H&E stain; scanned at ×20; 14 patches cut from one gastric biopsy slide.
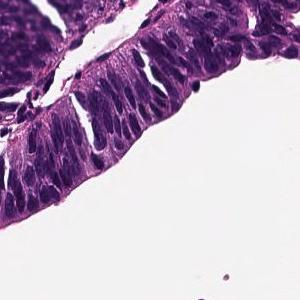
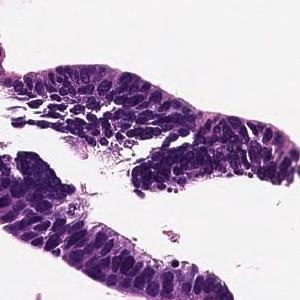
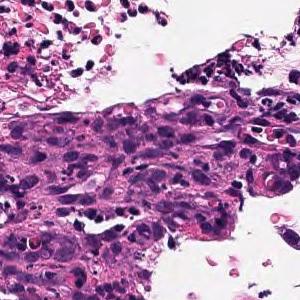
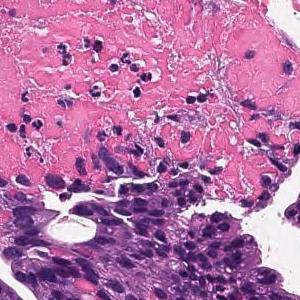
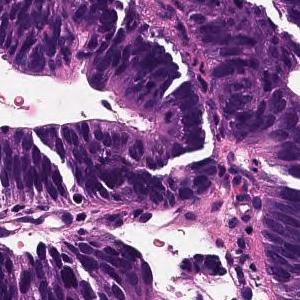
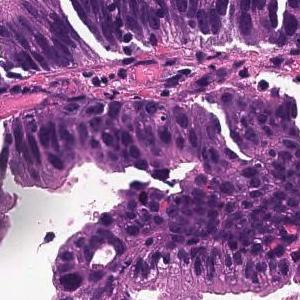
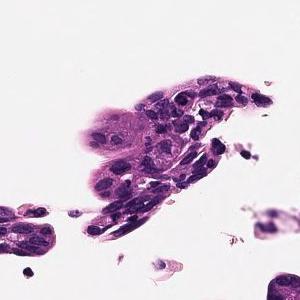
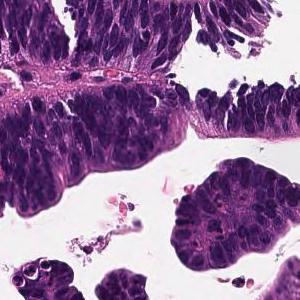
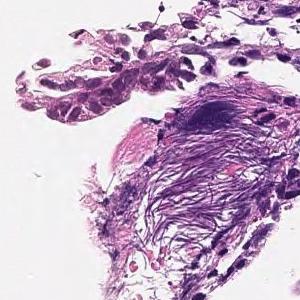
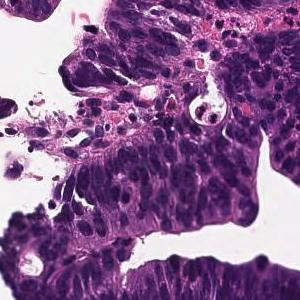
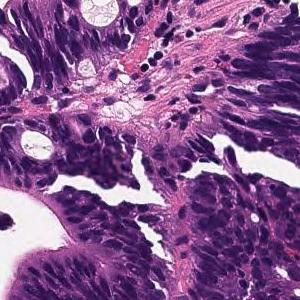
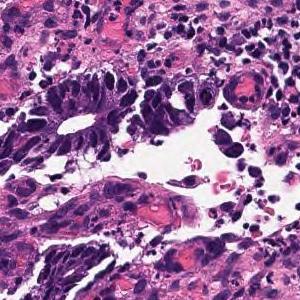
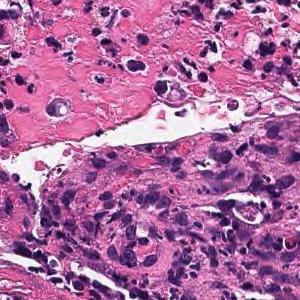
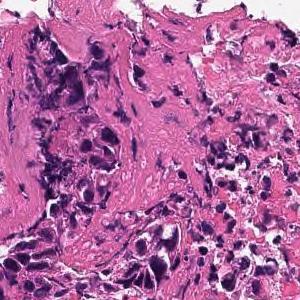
Report on the slide these tiles come from. What the report and the diagnosis say applies to the whole slide; these tiles may miss some of the features named and may include tissue that is not tumor.
Tumor cells are large, highly columnar, large club-shaped nuclei, and are associated with chromatin aggregation. Papillary adenocarcinoma.
